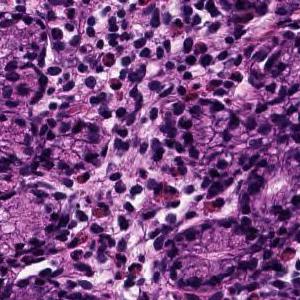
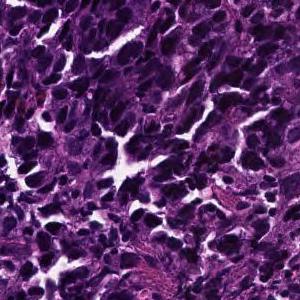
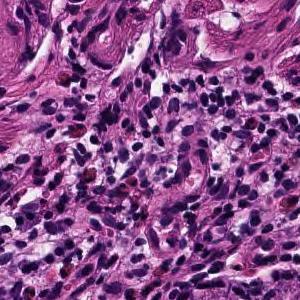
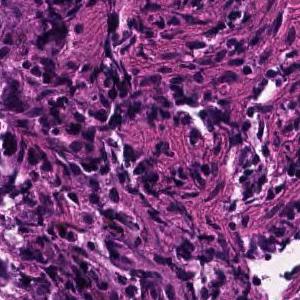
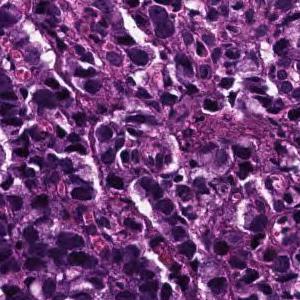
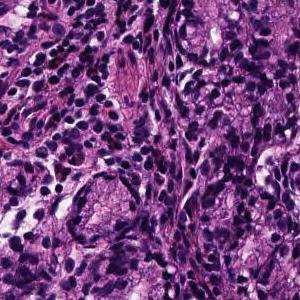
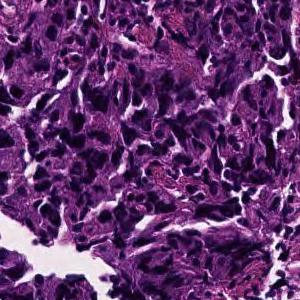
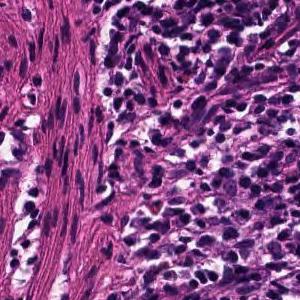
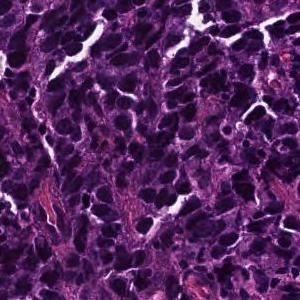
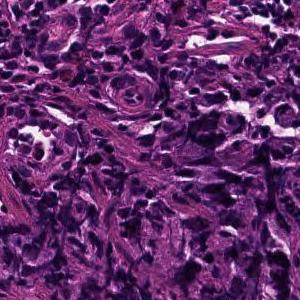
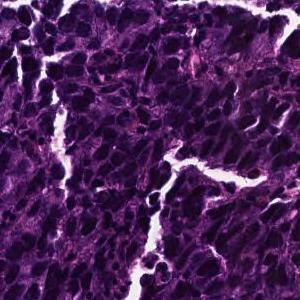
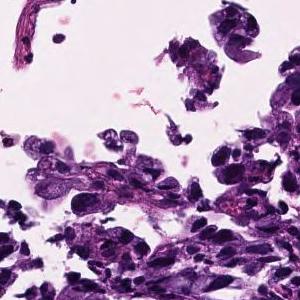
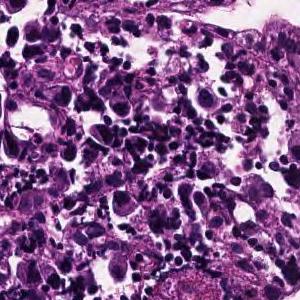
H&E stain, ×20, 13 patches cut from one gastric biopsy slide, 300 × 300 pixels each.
Pathology report for the biopsy slide these tiles were cut from. The findings and the diagnosis refer to the entire slide; these tiles show only part of it, possibly with non-tumor tissue, and may not show every feature named.
The superficial epithelium shows a large sheet-like shape, and some tumor tissues infiltrate with a small cord-like structure. Poorly differentiated adenocarcinoma, solid type (poorly differentiated adenocarcinoma, solid type)
Histological subtype: Poorly differentiated adenocarcinoma, solid type, a category of the Japanese Classification of Gastric Carcinoma; in the WHO 2019 classification it is tubular adenocarcinoma, poorly differentiated.
